7 tiles from the same stomach biopsy slide · each 300 × 300 pixels · 20× magnification · hematoxylin and eosin stain.
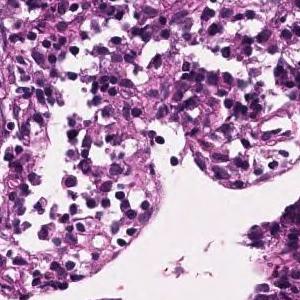
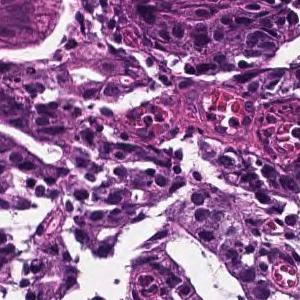
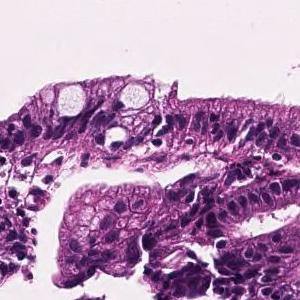
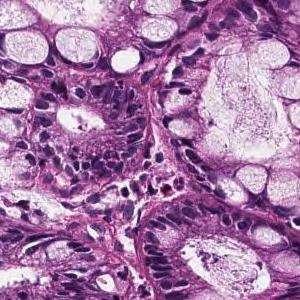
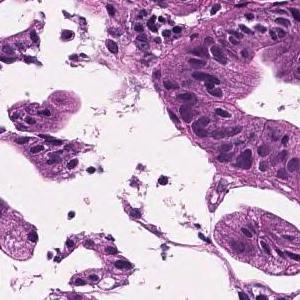
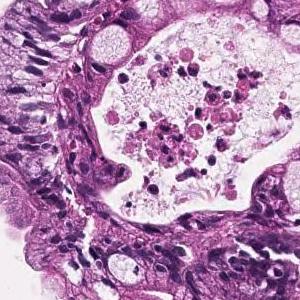
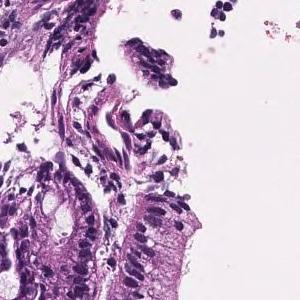
The pathologist's report on the biopsy slide these tiles were taken from. The report describes the whole slide, diagnosis included: not every finding it names need appear in these tiles, which may also show non-tumor tissue.
In the superficial epithelium, tumor tissue that invades by forming medium-sized to small, irregular ducts is observed. Well differentiated tubular adenocarcinoma.
